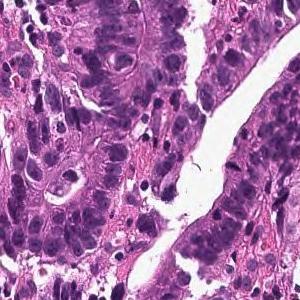
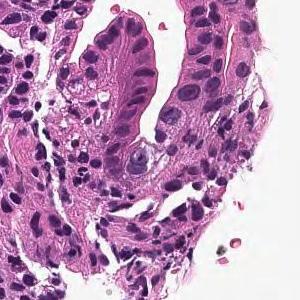
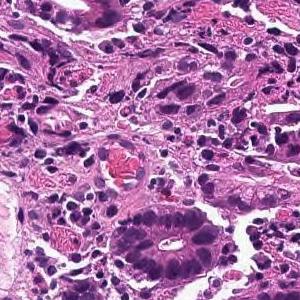
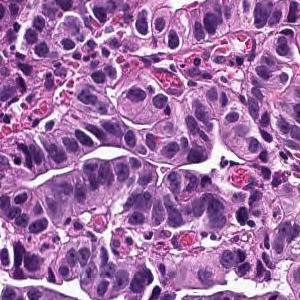
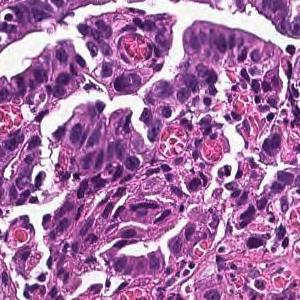
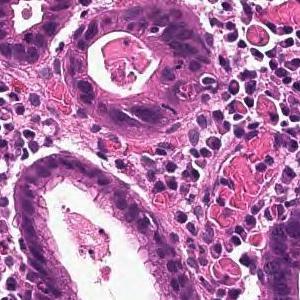
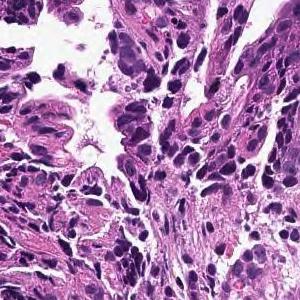
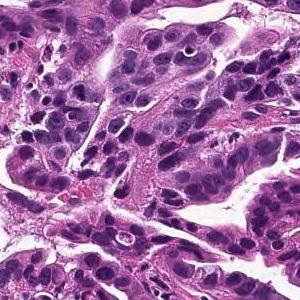
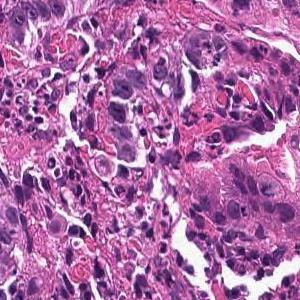
20× magnification, hematoxylin and eosin stain, 9 patches cut from one gastric biopsy slide, each 300 × 300 pixels.
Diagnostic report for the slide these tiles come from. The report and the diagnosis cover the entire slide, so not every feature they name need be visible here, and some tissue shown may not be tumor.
On the superficial epithelium, tumor tissue consisting of large, irregular glandular ducts partially fused and infiltrated is observed. Well to moderately differentiated tubular adenocarcinoma (well differentiated tubular adenocarcinoma, moderately differentiated tubular adenocarcinoma)
Tumor subtype: well to moderately differentiated tubular adenocarcinoma.
